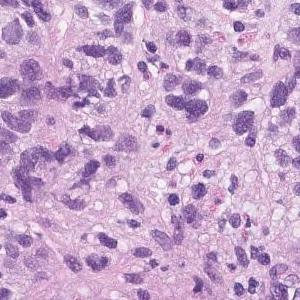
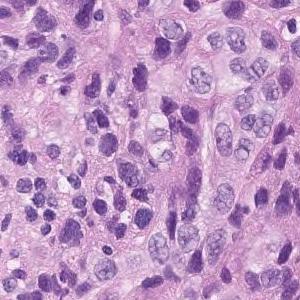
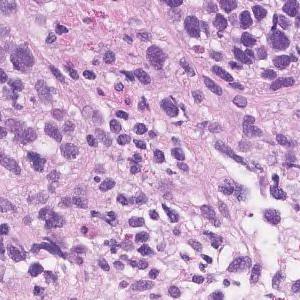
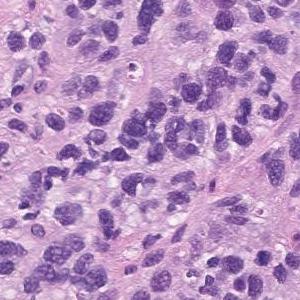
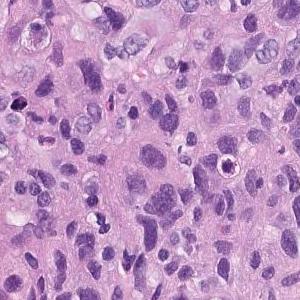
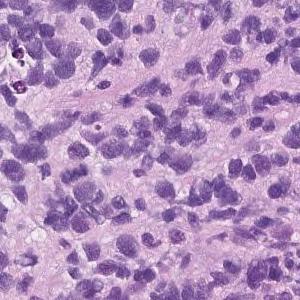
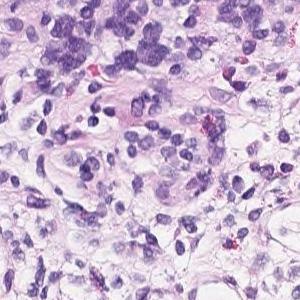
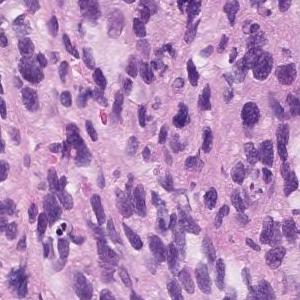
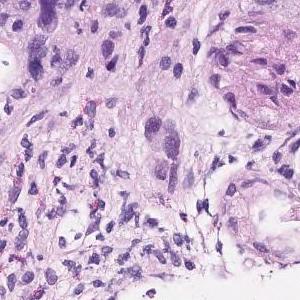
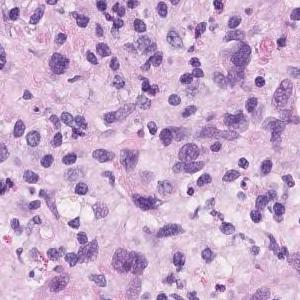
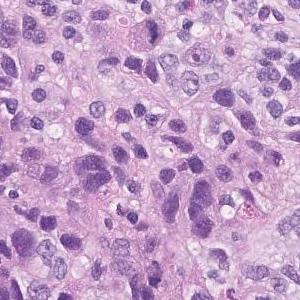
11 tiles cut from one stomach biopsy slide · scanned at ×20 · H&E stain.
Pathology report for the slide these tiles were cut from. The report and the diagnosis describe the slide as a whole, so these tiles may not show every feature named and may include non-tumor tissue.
Atypical l cells with atypical nuclei under the mucosa growing in isolation and scattered. Poorly differentiated adenocarcinoma (poorly differentiated adenocarcinoma, non-solid type)
Subtype: Poorly differentiated adenocarcinoma, non-solid type.
The non-solid type named here is a Japanese Classification of Gastric Carcinoma category.
